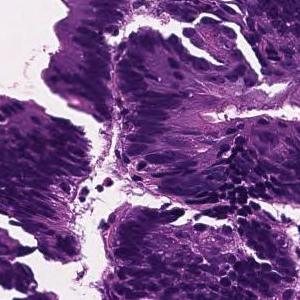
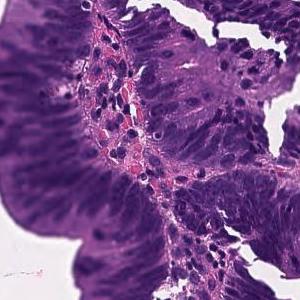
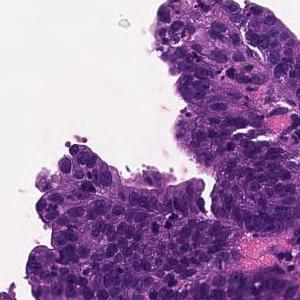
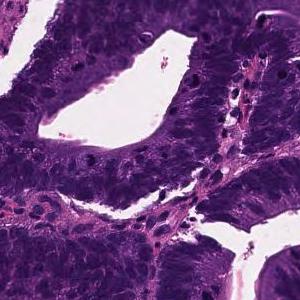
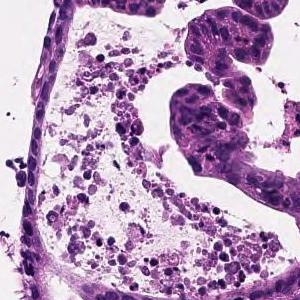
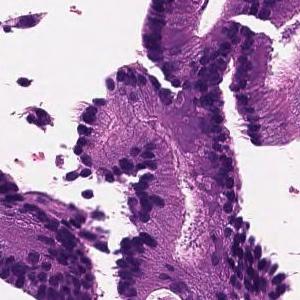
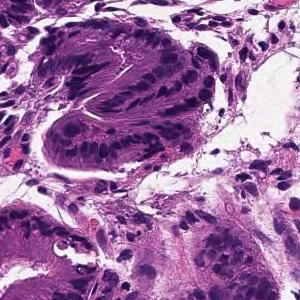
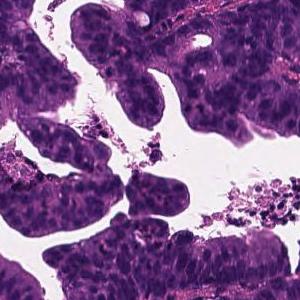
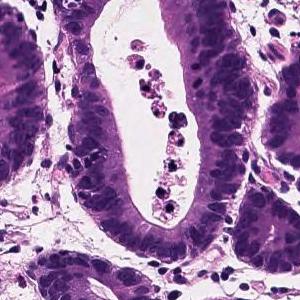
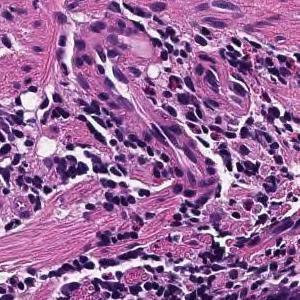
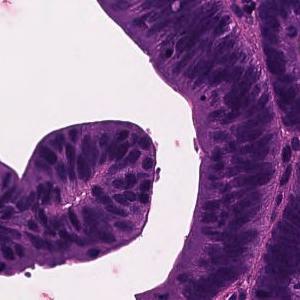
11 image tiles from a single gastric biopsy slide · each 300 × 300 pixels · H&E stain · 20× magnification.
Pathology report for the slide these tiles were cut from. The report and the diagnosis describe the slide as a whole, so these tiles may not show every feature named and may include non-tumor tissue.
Tumor tissue consisting of large papillary structures is found in the superficial epithelium. Papillary adenocarcinoma.
